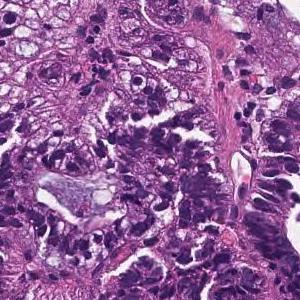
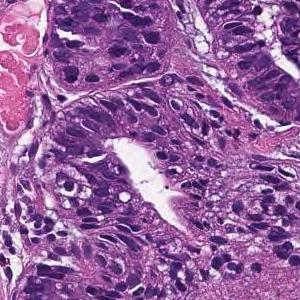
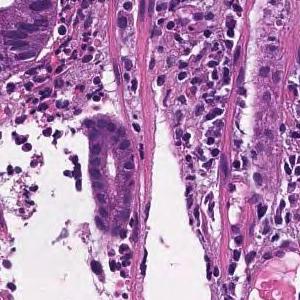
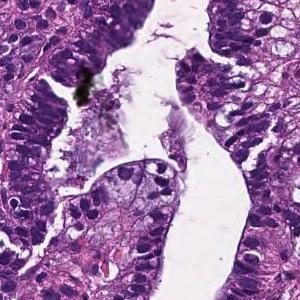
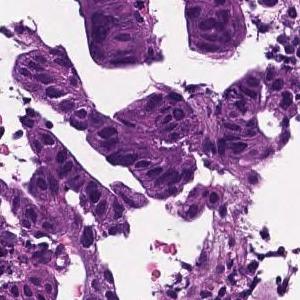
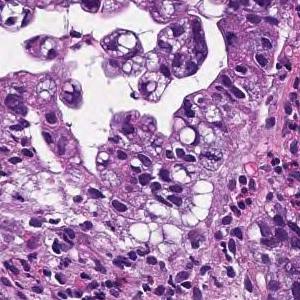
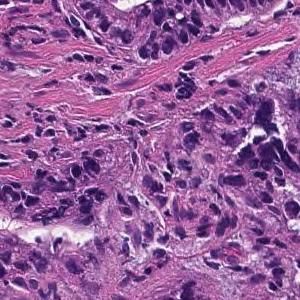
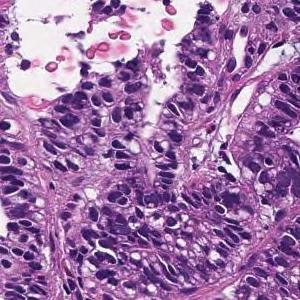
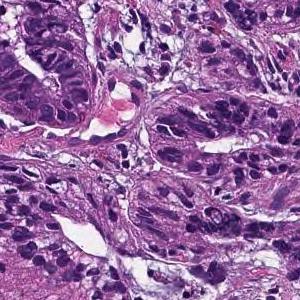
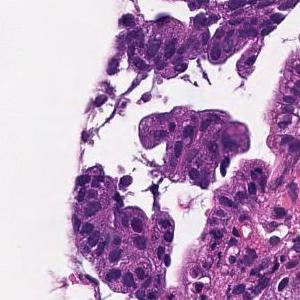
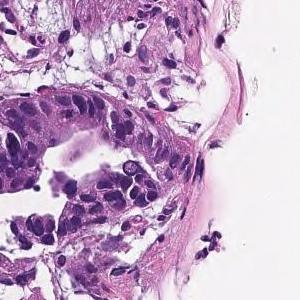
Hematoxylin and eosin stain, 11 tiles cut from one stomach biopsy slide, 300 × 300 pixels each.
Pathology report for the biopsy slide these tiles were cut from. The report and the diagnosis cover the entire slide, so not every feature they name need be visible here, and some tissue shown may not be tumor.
From the superficial epithelium to the muscularis mucosae, tumor tissue consisting of medium-sized and irregular glandular ducts infiltrating is observed. Well differentiated tubular adenocarcinoma
